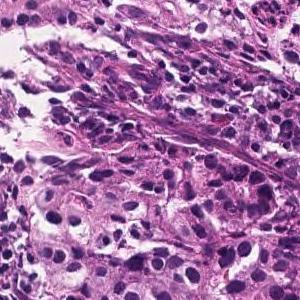
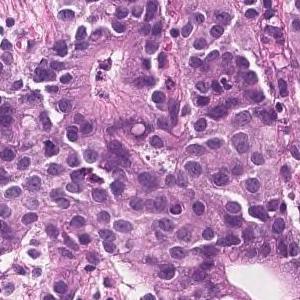
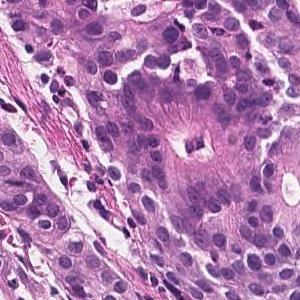
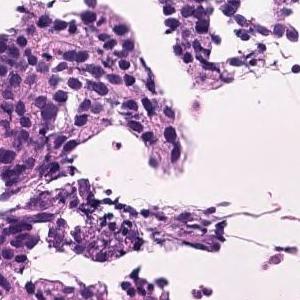
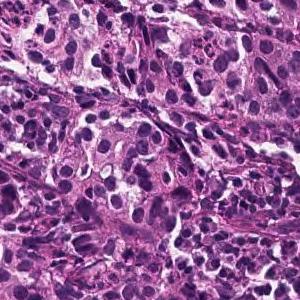
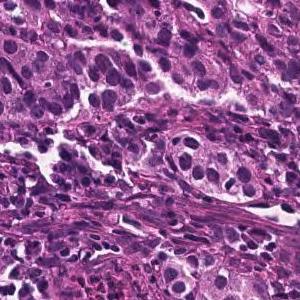
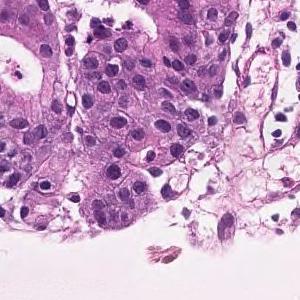
Scanned at ×20, 7 image tiles from a single gastric biopsy slide, 300 × 300 pixels each.
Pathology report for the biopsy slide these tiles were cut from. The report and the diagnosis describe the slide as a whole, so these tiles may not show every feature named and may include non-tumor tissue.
Medium to small, irregular glandular ducts are formed in the superficial epithelium, and in some cases, the glandular ducts are fused to show solid alveolar lesions and infiltrating tumor tissue is observed. Moderately to poorly differentiated adenocarcinoma.
